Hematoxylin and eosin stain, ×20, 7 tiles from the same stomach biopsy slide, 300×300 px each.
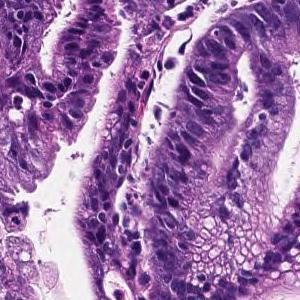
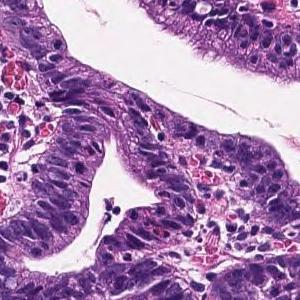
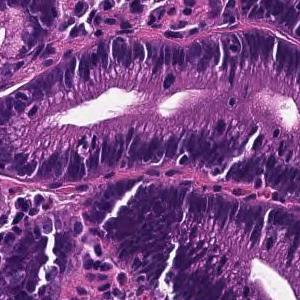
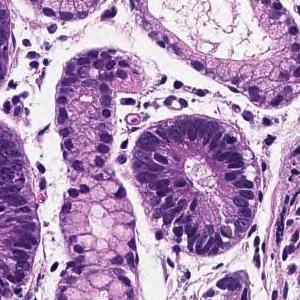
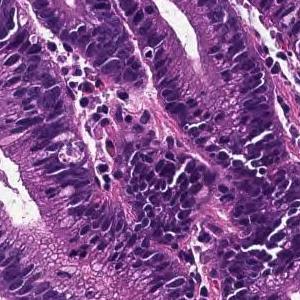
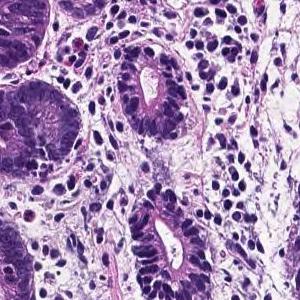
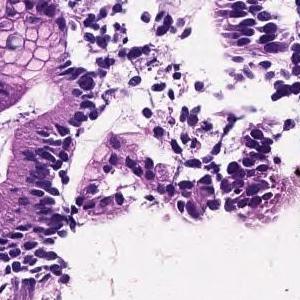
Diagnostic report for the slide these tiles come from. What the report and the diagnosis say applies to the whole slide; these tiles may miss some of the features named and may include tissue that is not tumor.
From the superficial epithelium to the muscularis mucosae, tumor tissue consisting of medium-sized and irregular glandular ducts infiltrating is observed. Well differentiated tubular adenocarcinoma
